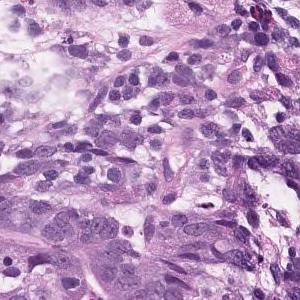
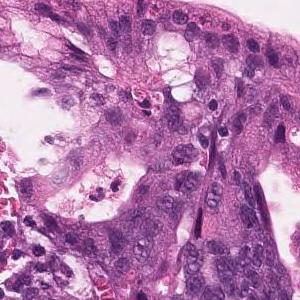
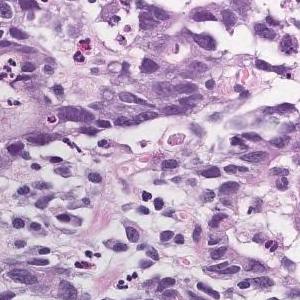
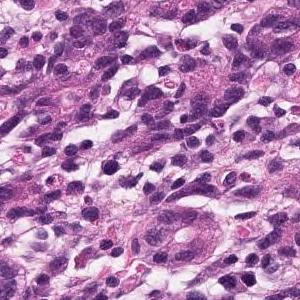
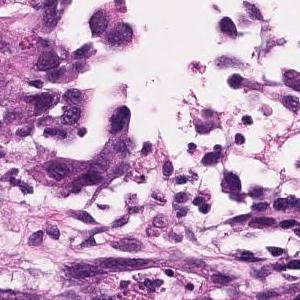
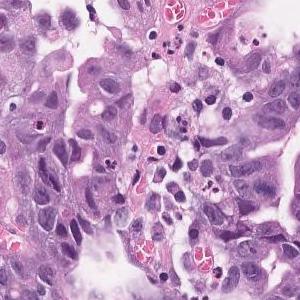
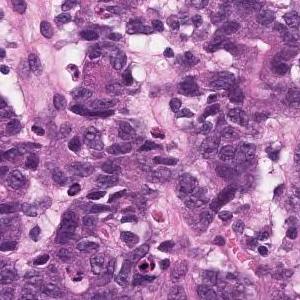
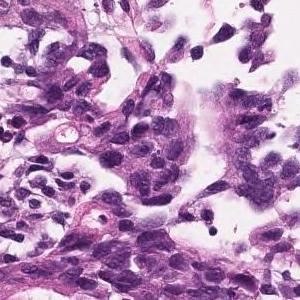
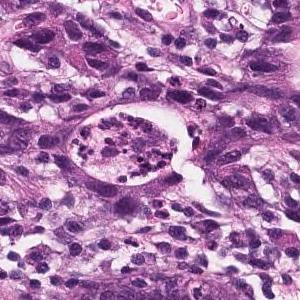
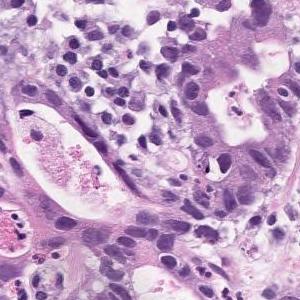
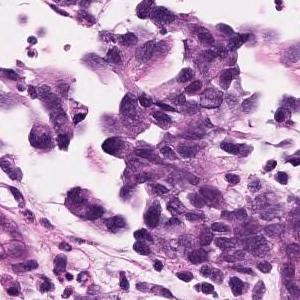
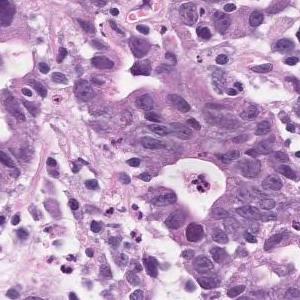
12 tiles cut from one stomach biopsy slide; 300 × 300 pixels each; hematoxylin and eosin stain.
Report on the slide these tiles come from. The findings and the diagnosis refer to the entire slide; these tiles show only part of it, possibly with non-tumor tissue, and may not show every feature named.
It is mixed with the existing pit epithelium and pyloric gland epithelium, and irregularly fused and branched atypical ducts are observed. Moderately differentiated tubular adenocarcinoma (well differentiated tubular adenocarcinoma)
The dataset labels this slide moderately differentiated tubular adenocarcinoma.
